15 image tiles from a single gastric biopsy slide · each 300 × 300 pixels · scanned at ×20 · H&E stain.
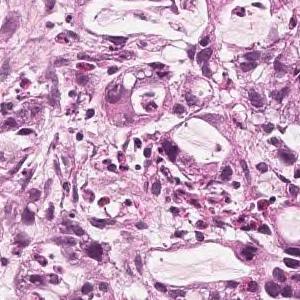
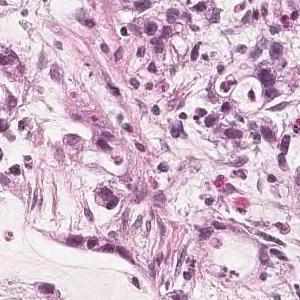
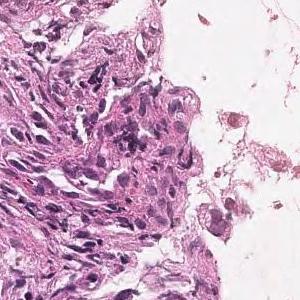
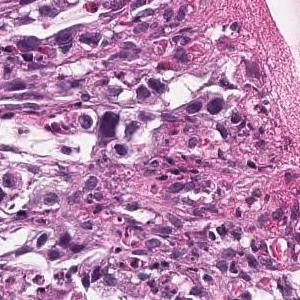
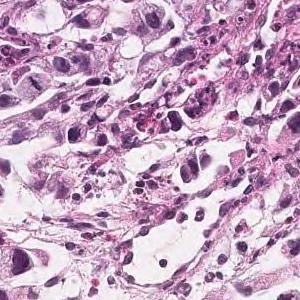
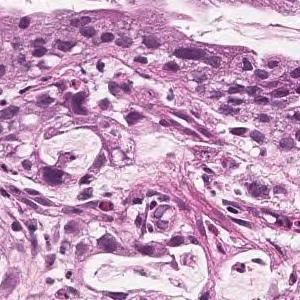
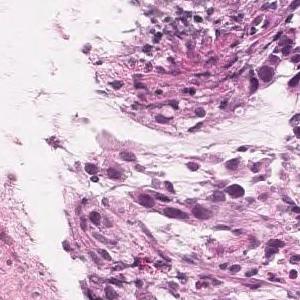
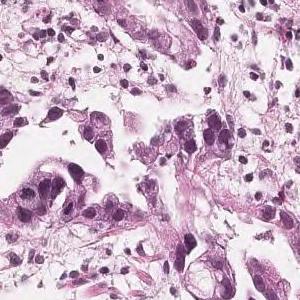
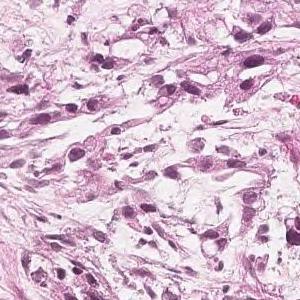
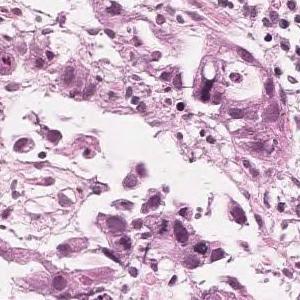
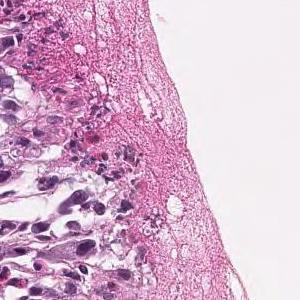
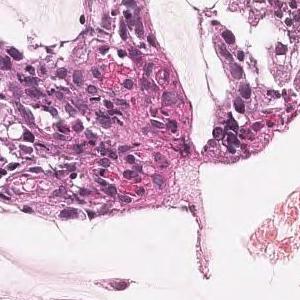
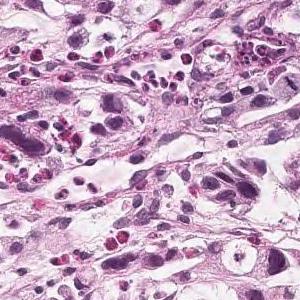
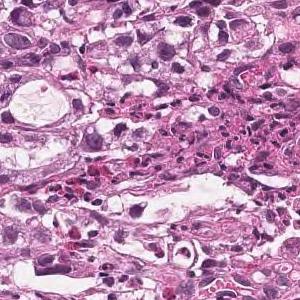
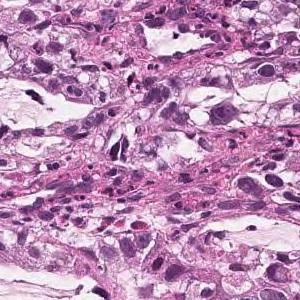
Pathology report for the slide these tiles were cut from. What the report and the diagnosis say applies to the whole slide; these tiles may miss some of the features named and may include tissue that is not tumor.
Tumor tissue consisting of medium-sized, cord-like or irregular glandular infiltration is observed in the superficial epithelium. Poorly differentiated adenocarcinoma, non-solid type or moderately differentiated tubular adenocarcinoma
The term "non-solid type" comes from the Japanese Classification of Gastric Carcinoma.
